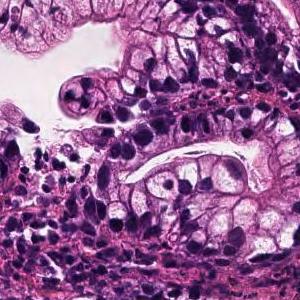
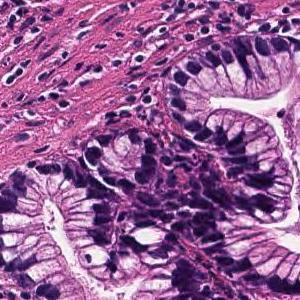
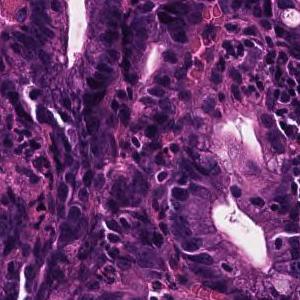
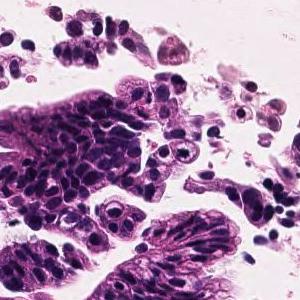
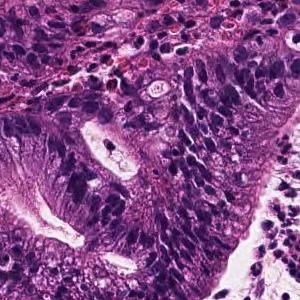
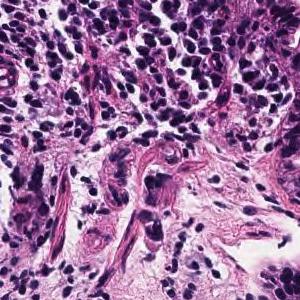
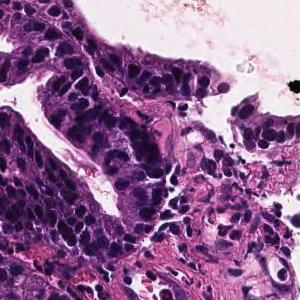
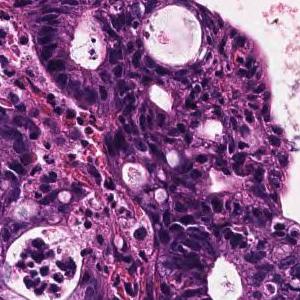
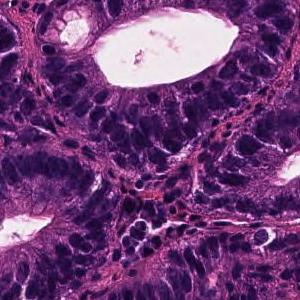
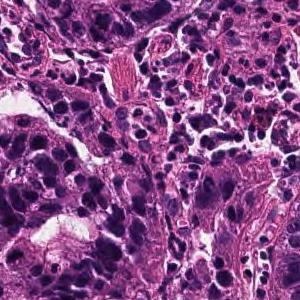
20× magnification; hematoxylin and eosin stain; 10 image tiles from a single gastric biopsy slide; each 300 × 300 pixels.
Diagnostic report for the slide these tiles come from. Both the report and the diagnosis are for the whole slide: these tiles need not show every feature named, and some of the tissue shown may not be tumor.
Tumor cells are large, highly columnar, large club-shaped nuclei, and are associated with chromatin aggregation. Papillary adenocarcinoma.
